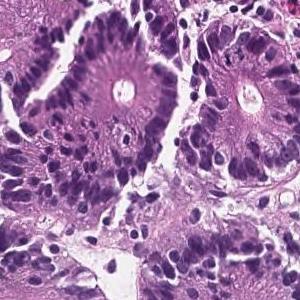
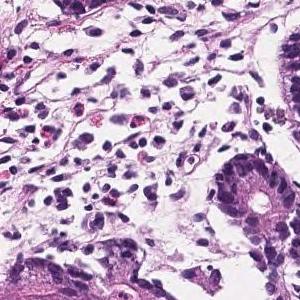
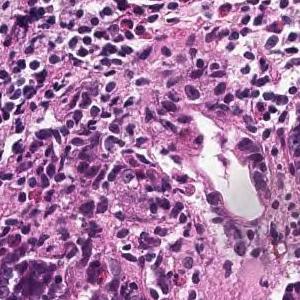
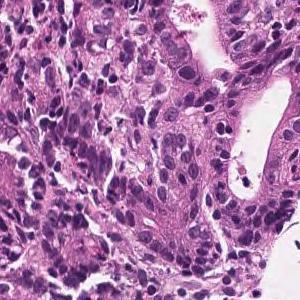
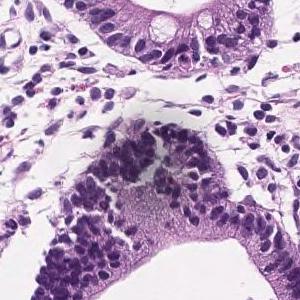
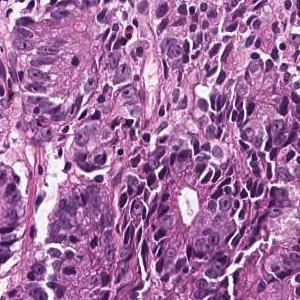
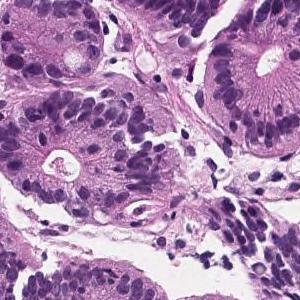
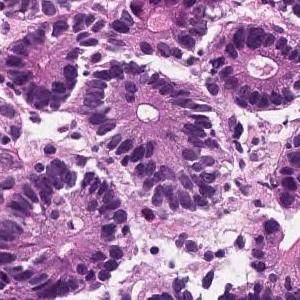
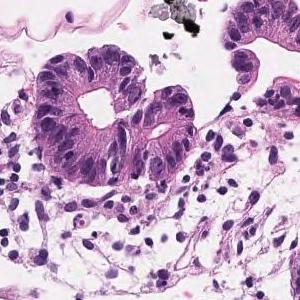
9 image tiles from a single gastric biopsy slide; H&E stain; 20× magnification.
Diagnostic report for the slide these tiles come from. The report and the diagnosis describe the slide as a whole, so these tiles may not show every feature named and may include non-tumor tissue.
In the superficial epithelium, tumor tissue that invades by forming medium-sized to small, irregular ducts is observed. Moderately differentiated adenocarcinoma.
Tumor subtype: moderately differentiated tubular adenocarcinoma.
